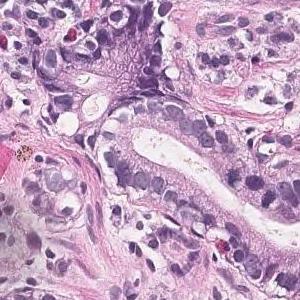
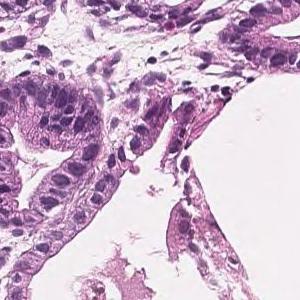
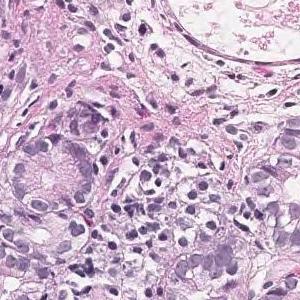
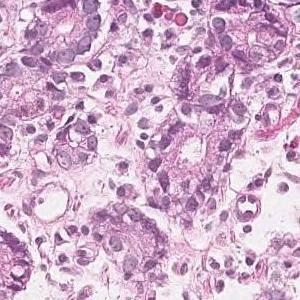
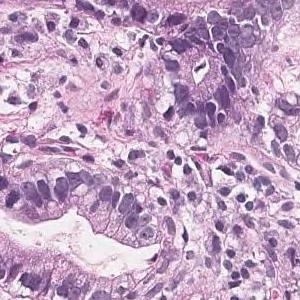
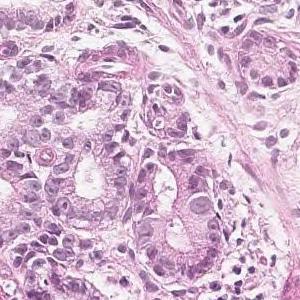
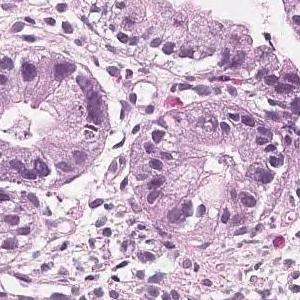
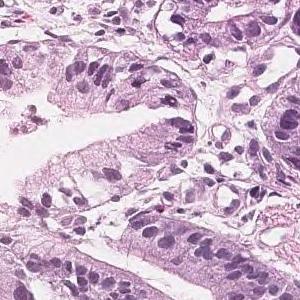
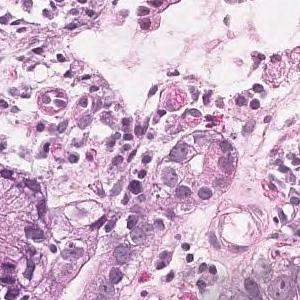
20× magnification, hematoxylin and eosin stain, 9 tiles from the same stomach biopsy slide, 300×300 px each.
Report on the slide these tiles come from. The report and the diagnosis cover the entire slide, so not every feature they name need be visible here, and some tissue shown may not be tumor.
In the superficial epithelium, tumor tissue that invades by forming medium-sized to small, irregular ducts is observed. moderately differentiated tubular adenocarcinoma.
